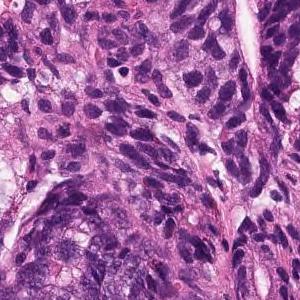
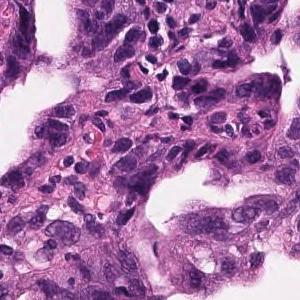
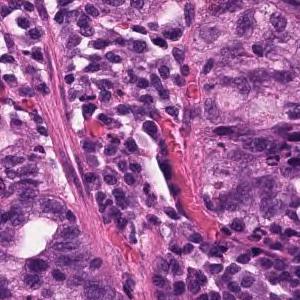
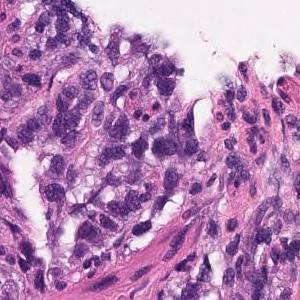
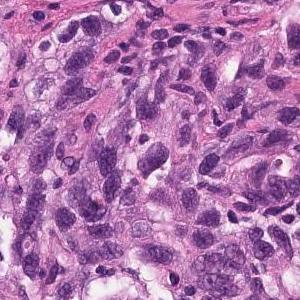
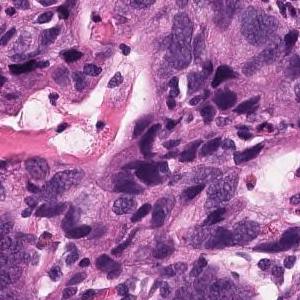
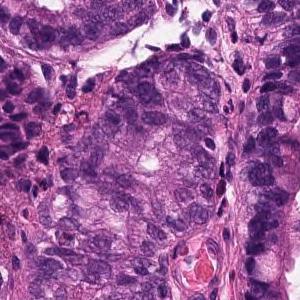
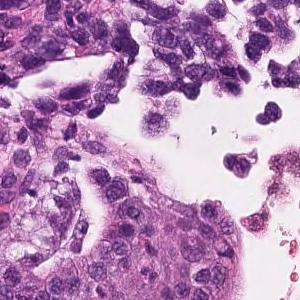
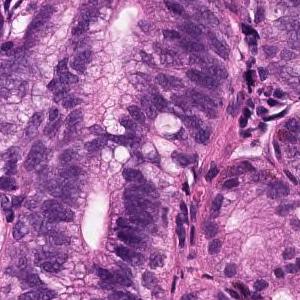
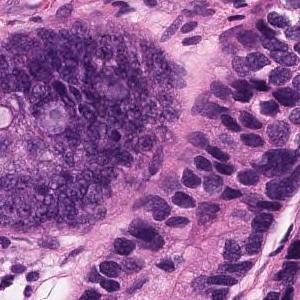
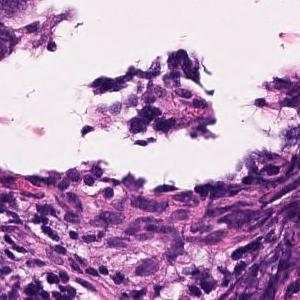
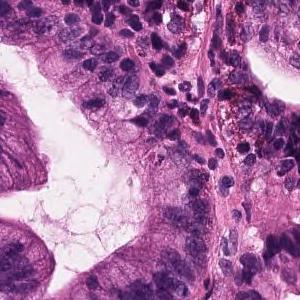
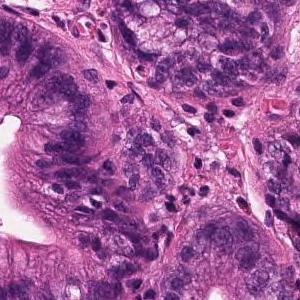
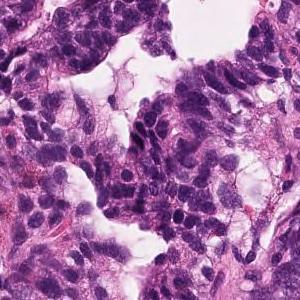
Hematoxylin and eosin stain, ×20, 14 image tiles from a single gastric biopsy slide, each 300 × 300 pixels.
Pathology report for the biopsy slide these tiles were cut from. Both the report and the diagnosis are for the whole slide: these tiles need not show every feature named, and some of the tissue shown may not be tumor.
In the superficial epithelium, tumor tissue that invades by forming medium-sized to small, irregular ducts is observed. Moderately differentiated adenocarcinoma.
Histological subtype: Moderately differentiated tubular adenocarcinoma.
